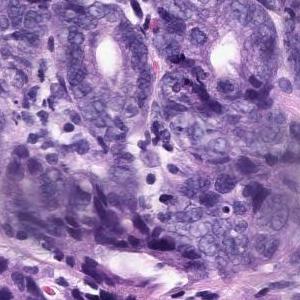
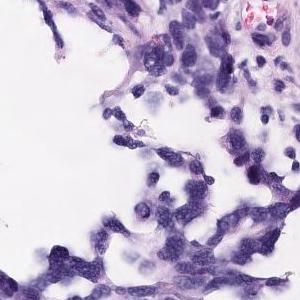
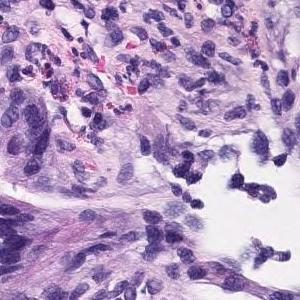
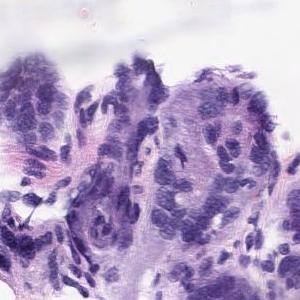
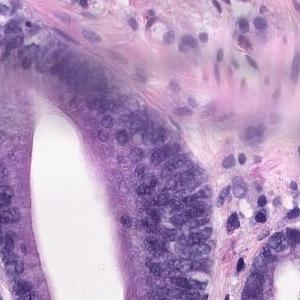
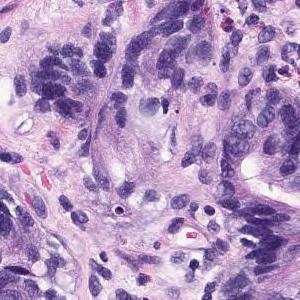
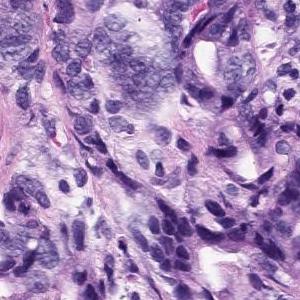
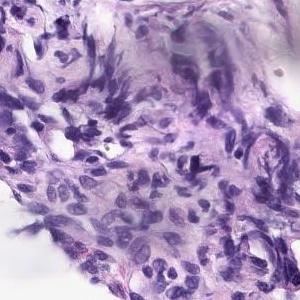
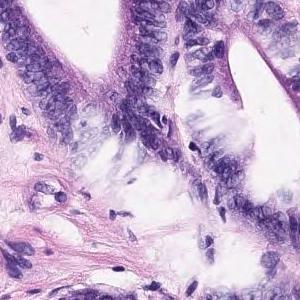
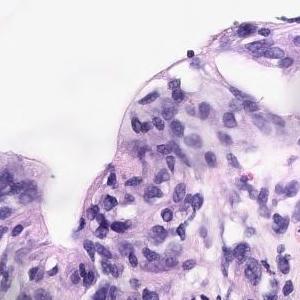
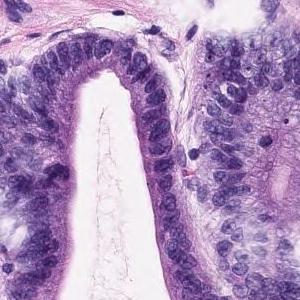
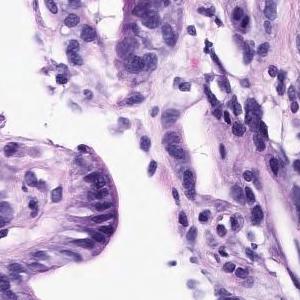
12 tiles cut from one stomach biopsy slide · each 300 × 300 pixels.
Report on the slide these tiles come from. The report and the diagnosis describe the slide as a whole, so these tiles may not show every feature named and may include non-tumor tissue.
In the superficial epithelium, tumor tissue that invades by forming medium-sized to small, irregular ducts is observed. Moderately differentiated adenocarcinoma
Tumor subtype: moderately differentiated tubular adenocarcinoma.
